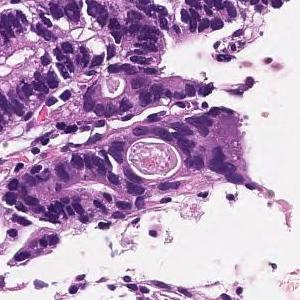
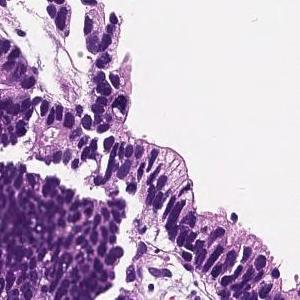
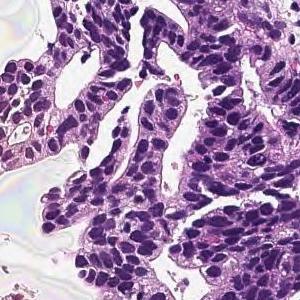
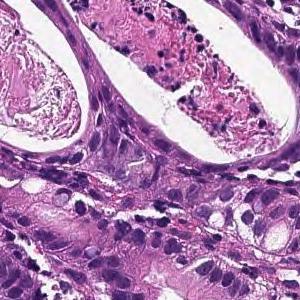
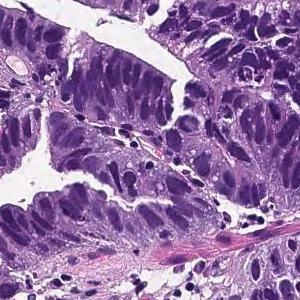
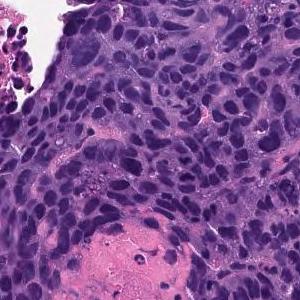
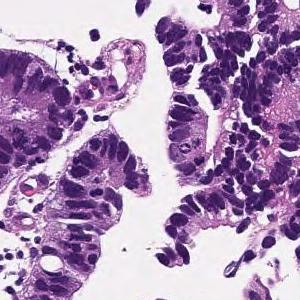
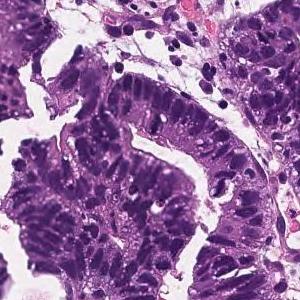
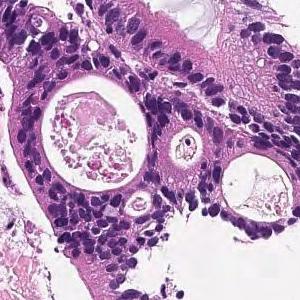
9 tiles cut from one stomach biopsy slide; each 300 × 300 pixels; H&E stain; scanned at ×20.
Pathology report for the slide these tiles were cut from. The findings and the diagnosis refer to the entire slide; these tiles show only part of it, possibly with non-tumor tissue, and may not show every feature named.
In the superficial epithelium, tumor tissue that invades by forming medium-sized to small, irregular ducts is observed. moderately differentiated tubular adenocarcinoma.
